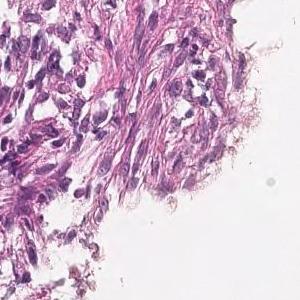
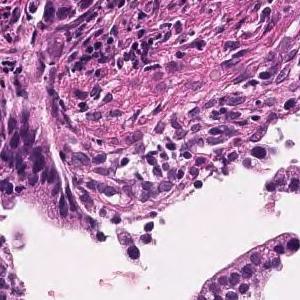
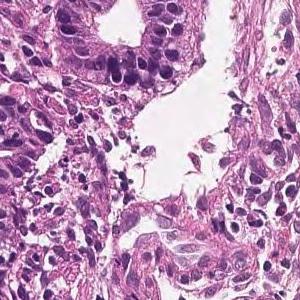
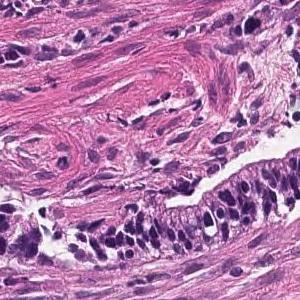
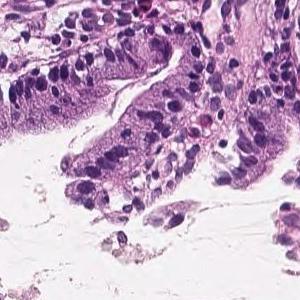
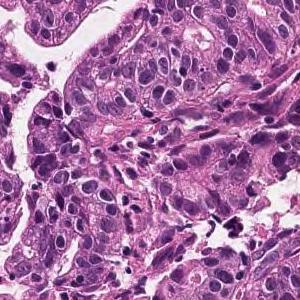
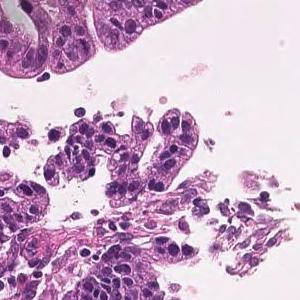
7 tiles from the same stomach biopsy slide · hematoxylin and eosin stain.
The pathologist's report on the biopsy slide these tiles were taken from. Both the report and the diagnosis are for the whole slide: these tiles need not show every feature named, and some of the tissue shown may not be tumor.
Tumor cells are large, highly columnar, large club-shaped nuclei, and are associated with chromatin aggregation. Papillary adenocarcinoma.
